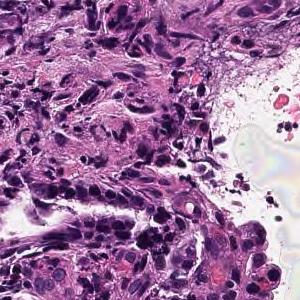
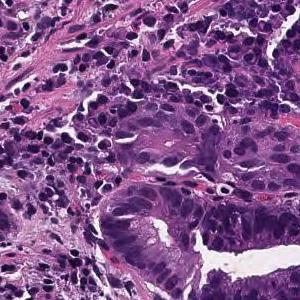
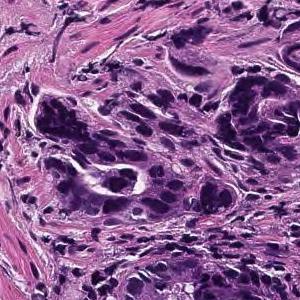
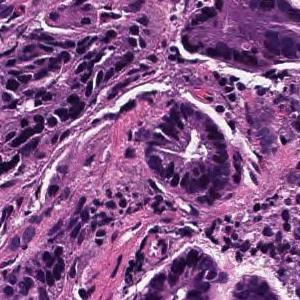
4 tiles from the same stomach biopsy slide, 300 × 300 pixels each, ×20.
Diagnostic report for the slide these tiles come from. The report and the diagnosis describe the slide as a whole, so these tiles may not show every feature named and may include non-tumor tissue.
From the superficial epithelium to the muscularis mucosae, tumor tissue consisting of medium-sized and irregular glandular ducts infiltrating is observed. Well differentiated tubular adenocarcinoma
